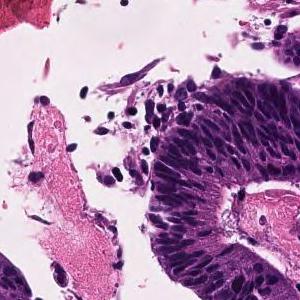
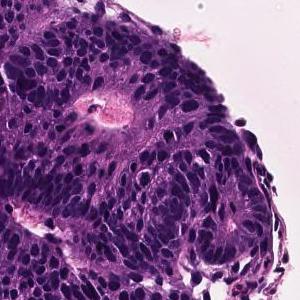
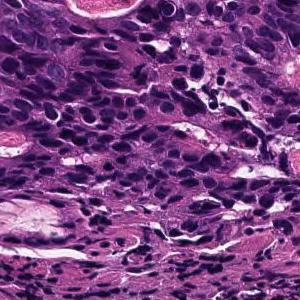
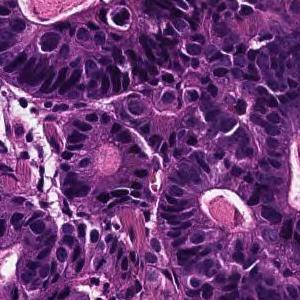
4 tiles from the same stomach biopsy slide; each 300 × 300 pixels; ×20.
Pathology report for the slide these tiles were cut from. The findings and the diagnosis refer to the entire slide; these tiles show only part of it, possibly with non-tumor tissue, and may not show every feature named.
In the superficial epithelium, tumor tissue that invades by forming medium-sized to small, irregular ducts is observed. moderately differentiated tubular adenocarcinoma.
